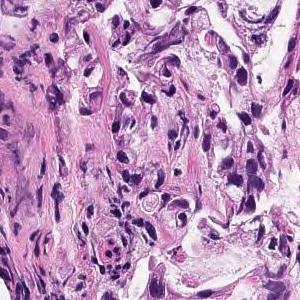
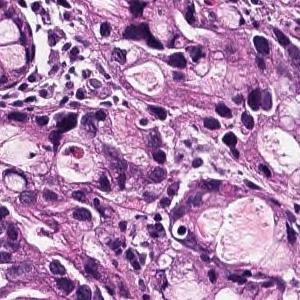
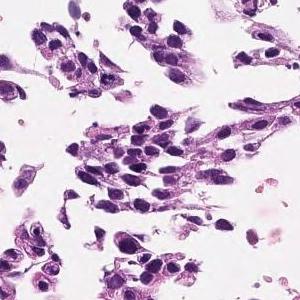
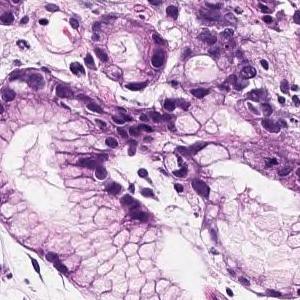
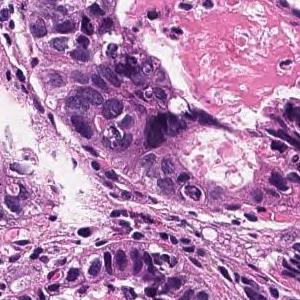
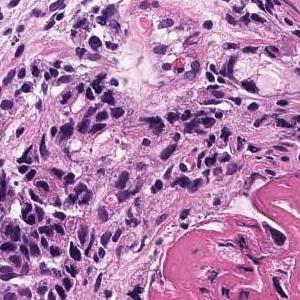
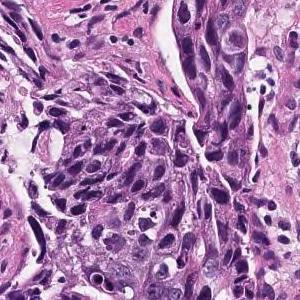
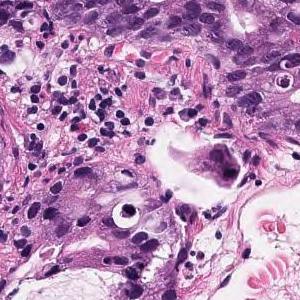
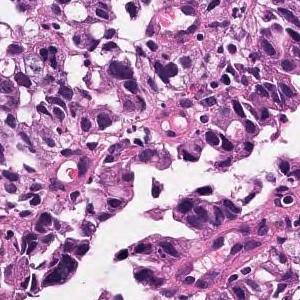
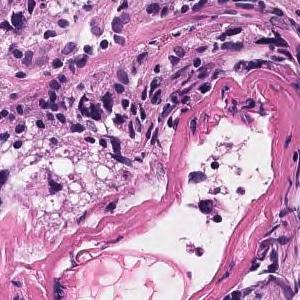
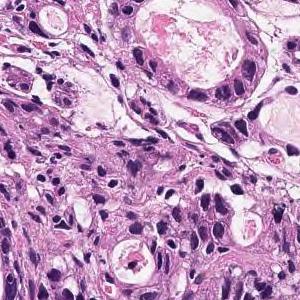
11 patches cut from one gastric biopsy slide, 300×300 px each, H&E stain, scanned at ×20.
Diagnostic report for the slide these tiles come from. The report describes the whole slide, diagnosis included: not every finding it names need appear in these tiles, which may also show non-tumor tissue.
In the superficial epithelium, tumor tissue that invades by forming medium-sized to small, irregular ducts is observed. Moderately differentiated adenocarcinoma.
Histological subtype: Moderately differentiated tubular adenocarcinoma.
